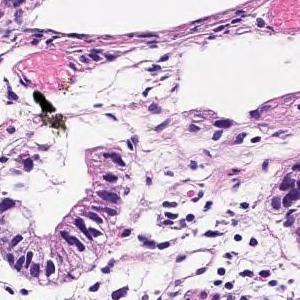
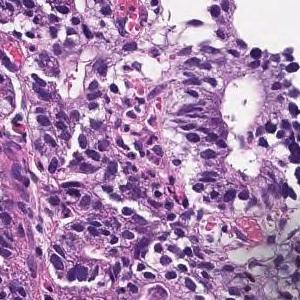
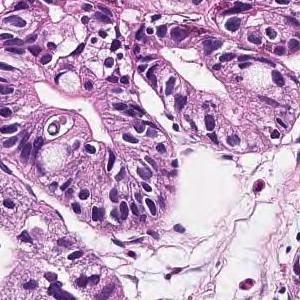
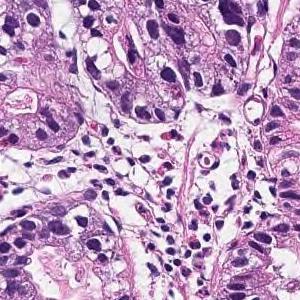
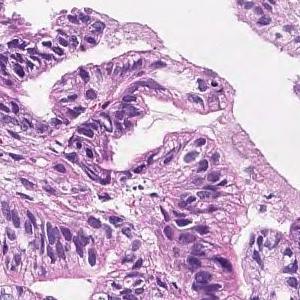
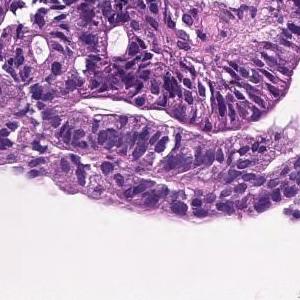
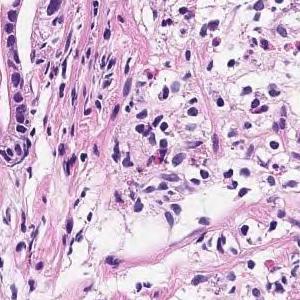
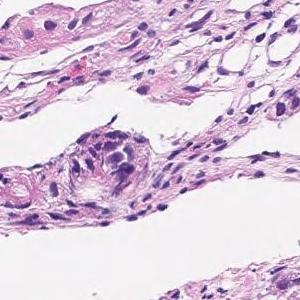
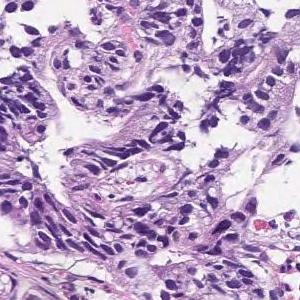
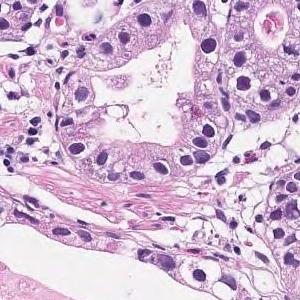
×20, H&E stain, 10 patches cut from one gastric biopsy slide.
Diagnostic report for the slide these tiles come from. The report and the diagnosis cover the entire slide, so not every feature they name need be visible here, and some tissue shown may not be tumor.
In the superficial epithelium, tumor tissue that invades by forming medium-sized to small, irregular ducts is observed. Moderately differentiated adenocarcinoma.
Tumor subtype: moderately differentiated tubular adenocarcinoma.
